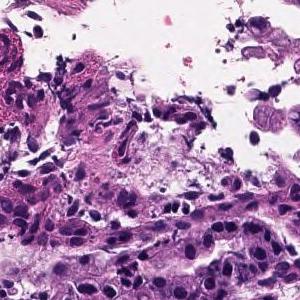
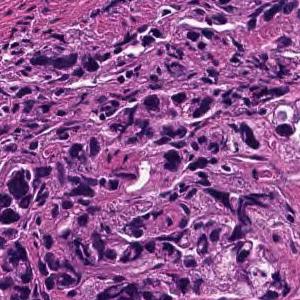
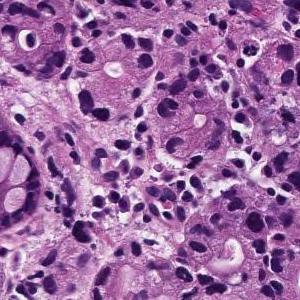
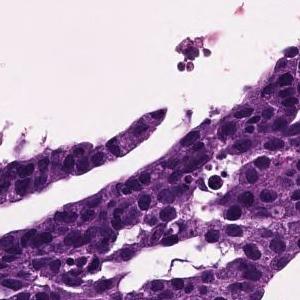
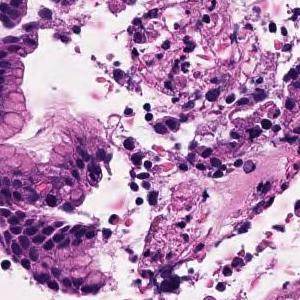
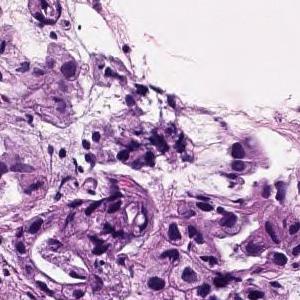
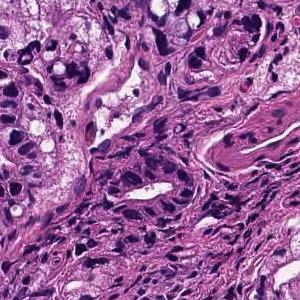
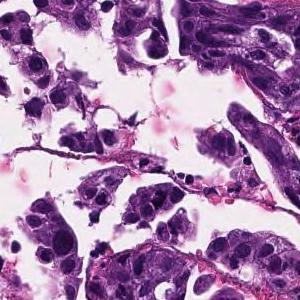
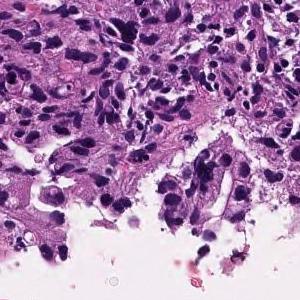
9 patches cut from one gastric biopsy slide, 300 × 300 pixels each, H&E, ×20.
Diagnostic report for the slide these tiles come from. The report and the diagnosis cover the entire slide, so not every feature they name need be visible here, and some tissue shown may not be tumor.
In the superficial epithelium, tumor tissue that invades by forming medium-sized to small, irregular ducts is observed. moderately differentiated tubular adenocarcinoma.
